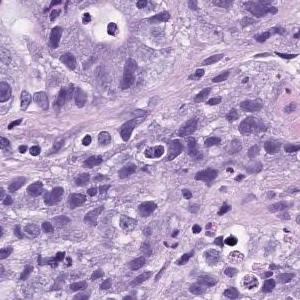
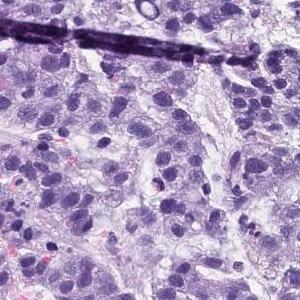
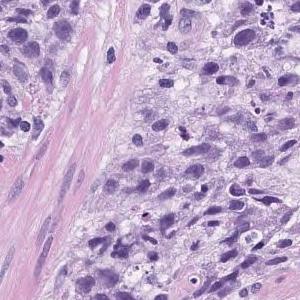
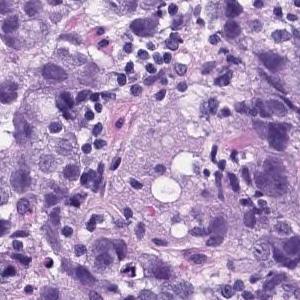
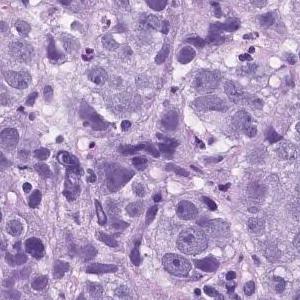
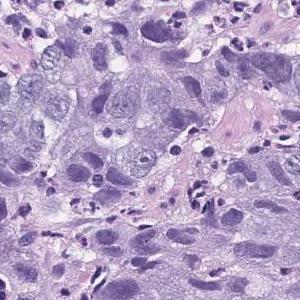
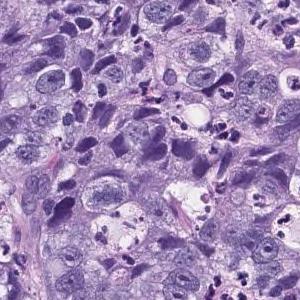
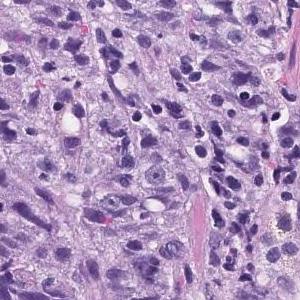
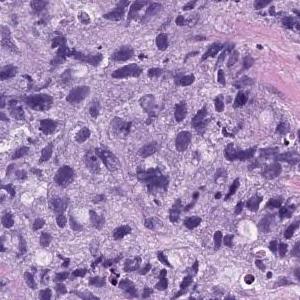
H&E stain; 9 tiles cut from one stomach biopsy slide.
Report on the slide these tiles come from. The report and the diagnosis cover the entire slide, so not every feature they name need be visible here, and some tissue shown may not be tumor.
Atypical l cells with atypical nuclei forming solid vesicles or small irregular atypical ducts that proliferate in a complex manner. poorly differentiated adenocarcinoma, solid type, moderately differentiated tubular adenocarcinoma
The term "solid type" comes from the Japanese Classification of Gastric Carcinoma; the WHO 2019 equivalent is tubular adenocarcinoma, poorly differentiated.
